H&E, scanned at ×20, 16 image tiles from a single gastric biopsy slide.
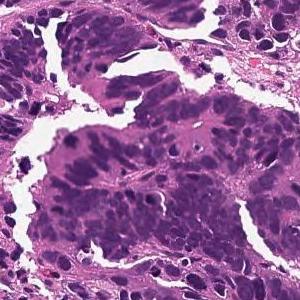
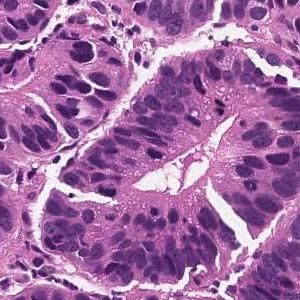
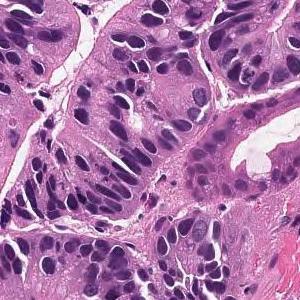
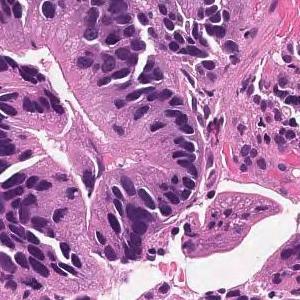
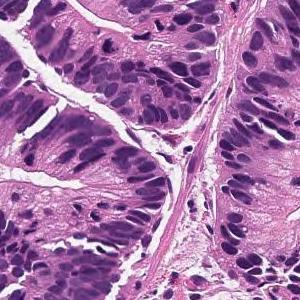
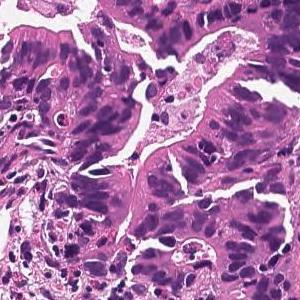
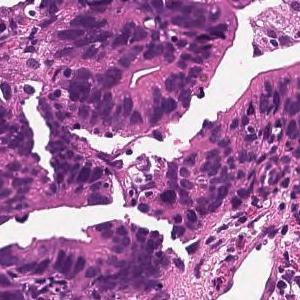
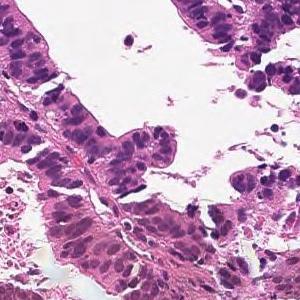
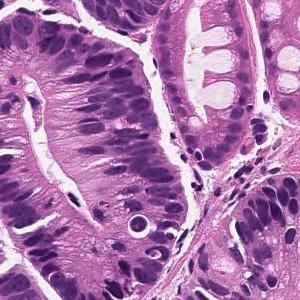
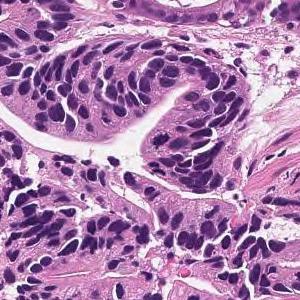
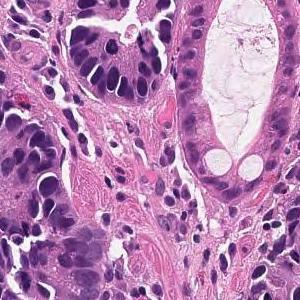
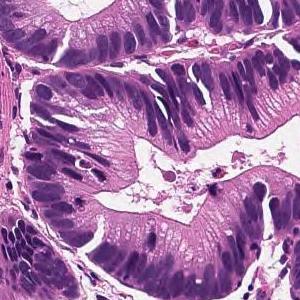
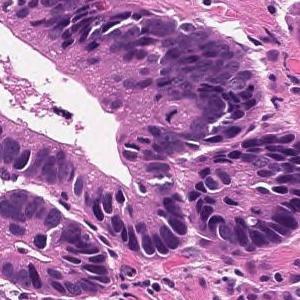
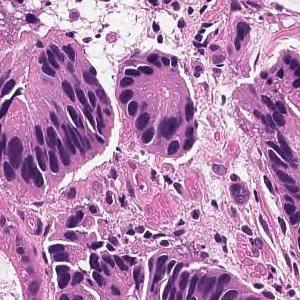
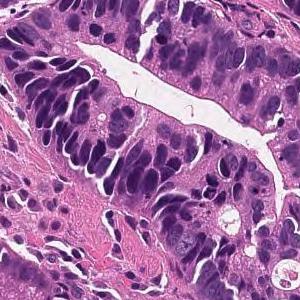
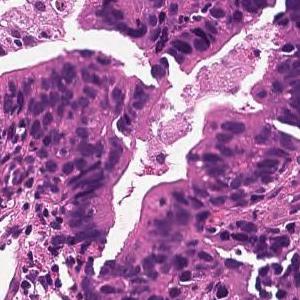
Diagnostic report for the slide these tiles come from. The report and the diagnosis cover the entire slide, so not every feature they name need be visible here, and some tissue shown may not be tumor.
Tumor cells are large, highly columnar, large club-shaped nuclei, and are associated with chromatin aggregation. Papillary adenocarcinoma.
